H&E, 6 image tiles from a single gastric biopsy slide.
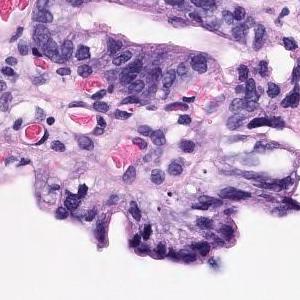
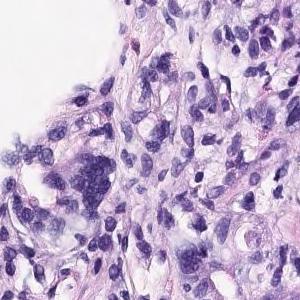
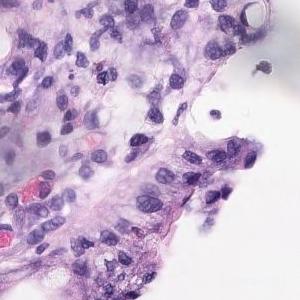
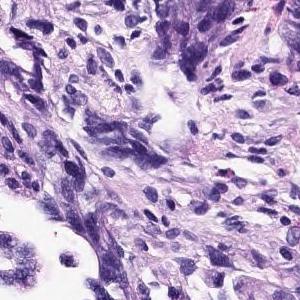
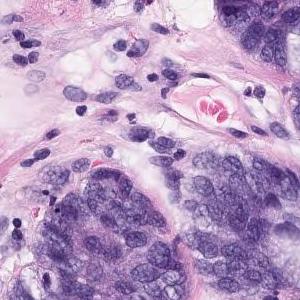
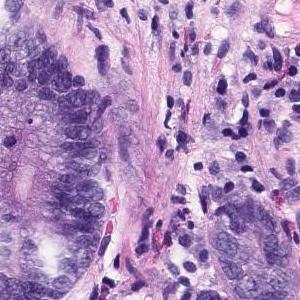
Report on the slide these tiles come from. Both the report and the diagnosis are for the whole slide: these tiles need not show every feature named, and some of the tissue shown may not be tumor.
In the superficial epithelium, tumor tissue that invades by forming medium-sized to small, irregular ducts is observed. Moderately differentiated adenocarcinoma
Classified as moderately differentiated tubular adenocarcinoma.
